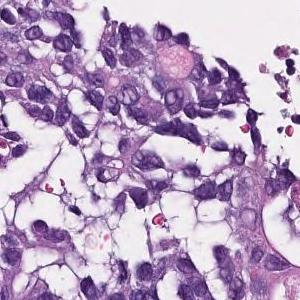
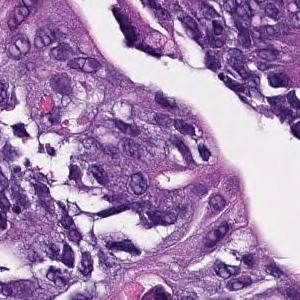
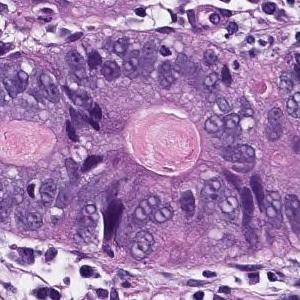
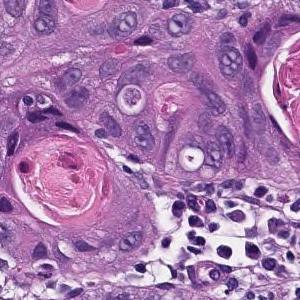
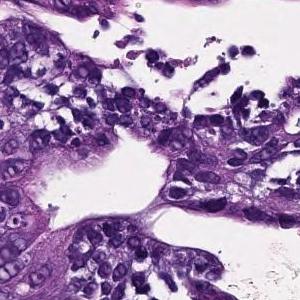
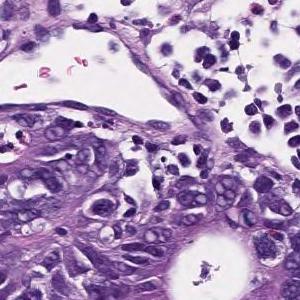
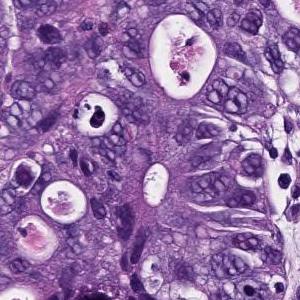
7 tiles cut from one stomach biopsy slide; 300×300 px each.
Pathology report for the slide these tiles were cut from. The report and the diagnosis describe the slide as a whole, so these tiles may not show every feature named and may include non-tumor tissue.
In the superficial epithelium, tumor tissue that invades by forming medium-sized to small, irregular ducts is observed. moderately differentiated tubular adenocarcinoma.
